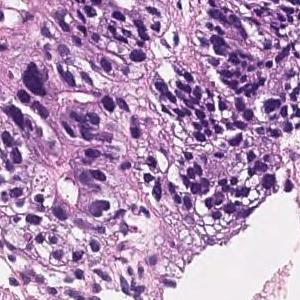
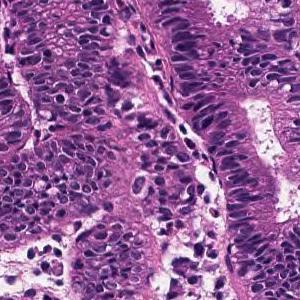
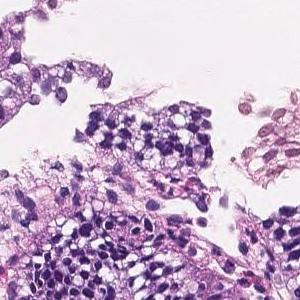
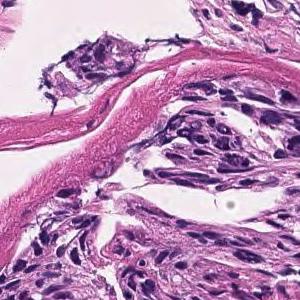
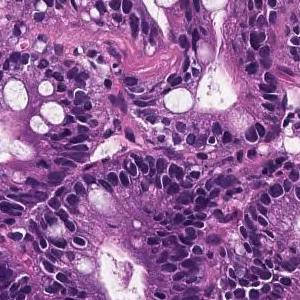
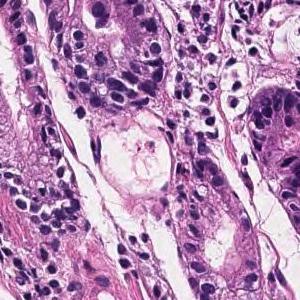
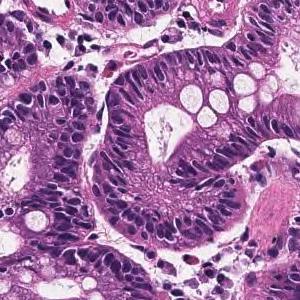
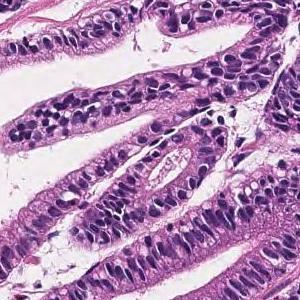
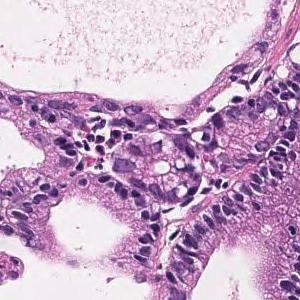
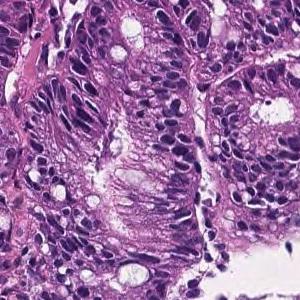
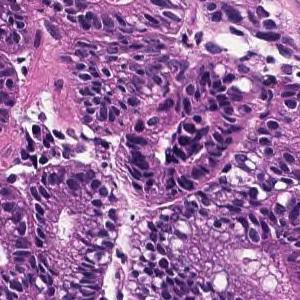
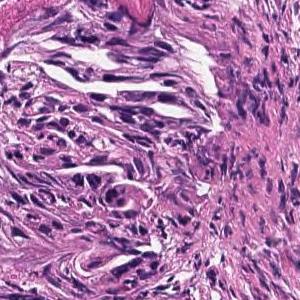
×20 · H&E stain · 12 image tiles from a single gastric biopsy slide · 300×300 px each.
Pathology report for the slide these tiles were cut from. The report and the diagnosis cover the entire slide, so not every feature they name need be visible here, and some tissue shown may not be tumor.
Most remain in the superficial epithelium, forming medium-sized papillary or small irregular ducts and proliferating, and some tumor tissue invades the muscularis mucosae. Papillary adenocarcinoma
